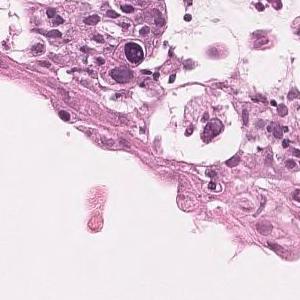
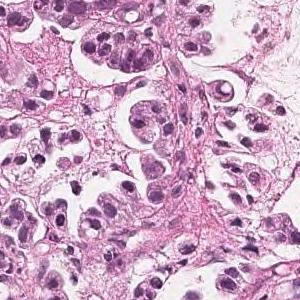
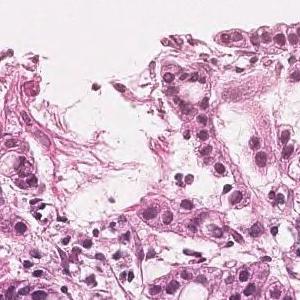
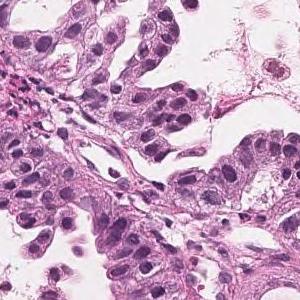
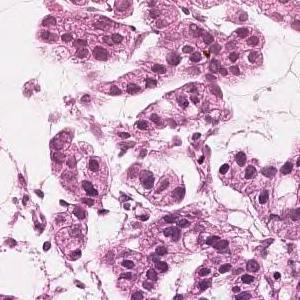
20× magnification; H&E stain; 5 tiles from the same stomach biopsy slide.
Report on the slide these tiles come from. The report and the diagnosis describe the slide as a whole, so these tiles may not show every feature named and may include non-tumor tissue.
Tumor cells are large, highly columnar, large club-shaped nuclei, and are associated with chromatin aggregation. Papillary adenocarcinoma.
